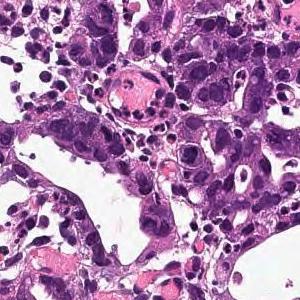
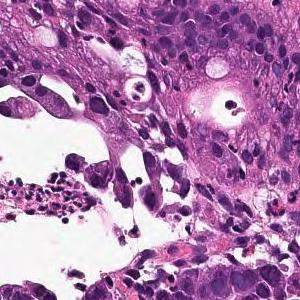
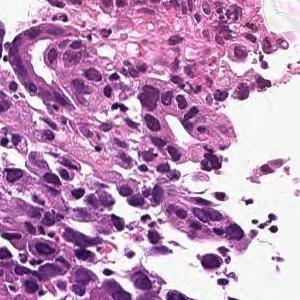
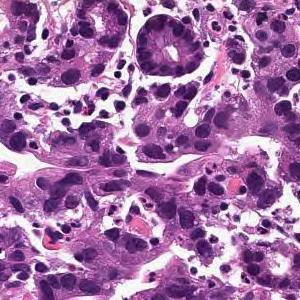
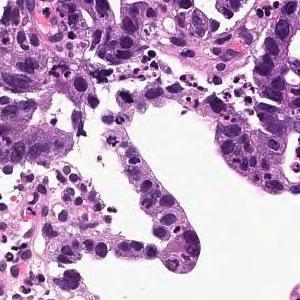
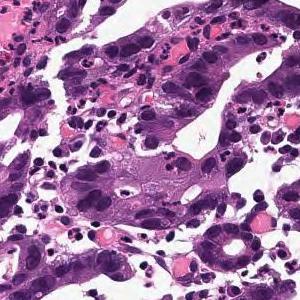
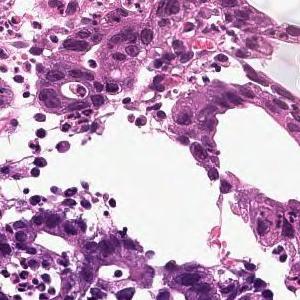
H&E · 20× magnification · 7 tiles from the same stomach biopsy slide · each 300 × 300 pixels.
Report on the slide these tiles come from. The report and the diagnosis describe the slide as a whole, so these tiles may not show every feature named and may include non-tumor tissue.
On the superficial epithelium, a tumor tissue consisting of a large, irregular glandular duct partially fused and infiltrating with a small alveolar shape is observed. Well or moderately differentiated tubular adenocarcinoma (well differentiated tubular adenocarcinoma, moderately differentiated tubular adenocarcinoma)
Subtype: Well to moderately differentiated tubular adenocarcinoma.
